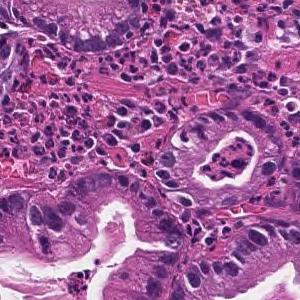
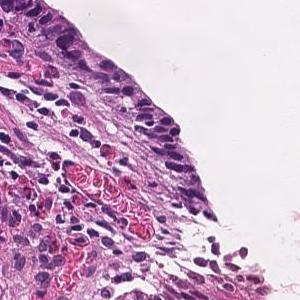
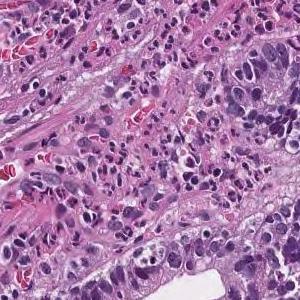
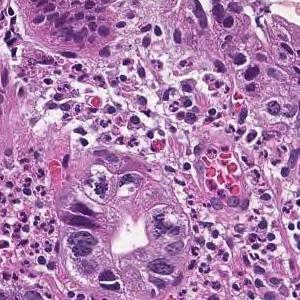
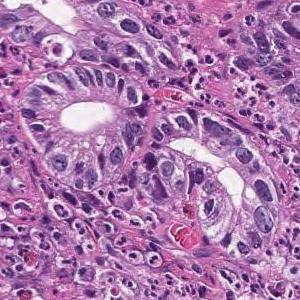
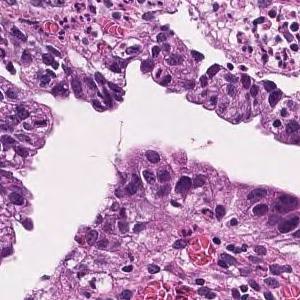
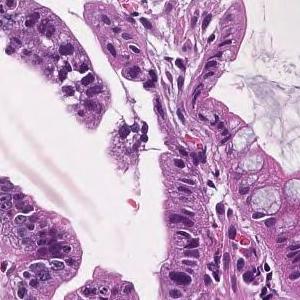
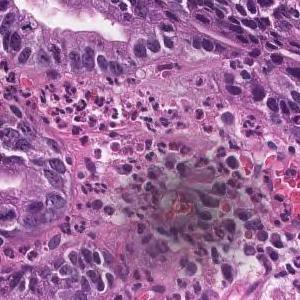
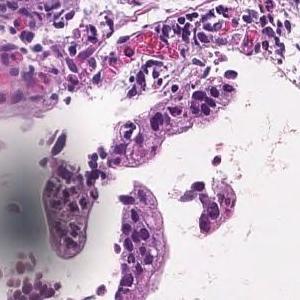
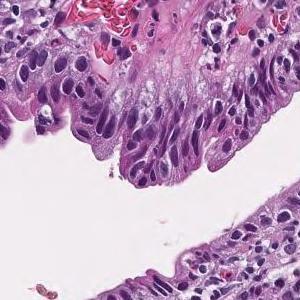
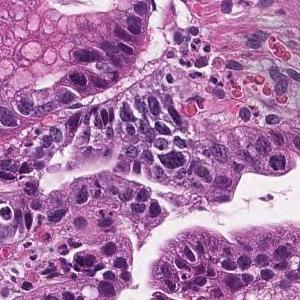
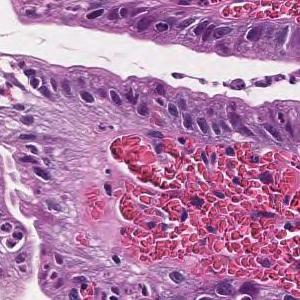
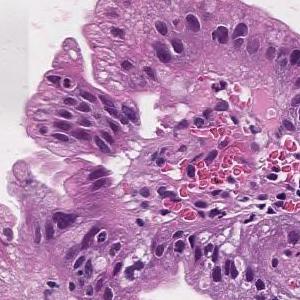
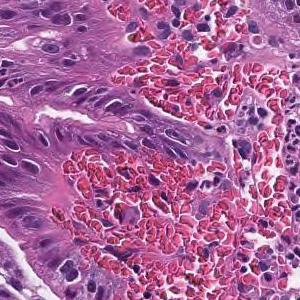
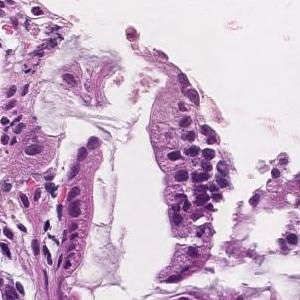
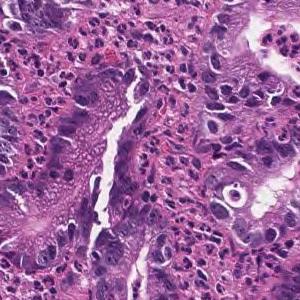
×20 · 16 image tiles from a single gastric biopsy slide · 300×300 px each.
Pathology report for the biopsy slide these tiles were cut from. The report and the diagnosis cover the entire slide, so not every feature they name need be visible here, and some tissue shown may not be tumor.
Tumor cells are large, highly columnar, large club-shaped nuclei, and are associated with chromatin aggregation. Papillary adenocarcinoma.
